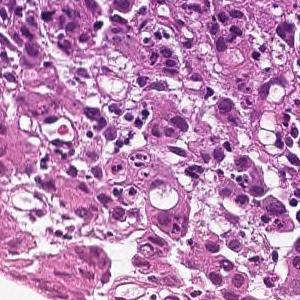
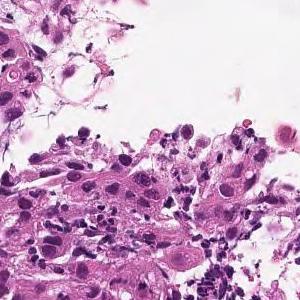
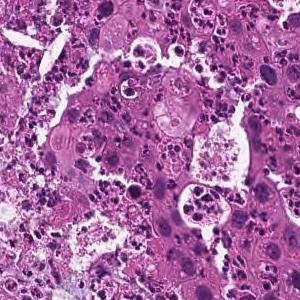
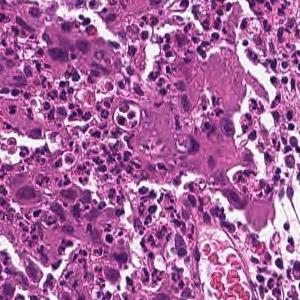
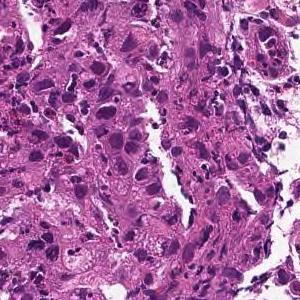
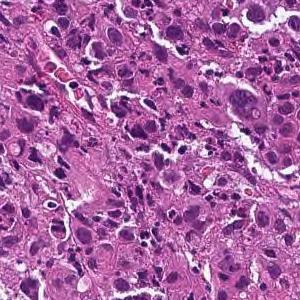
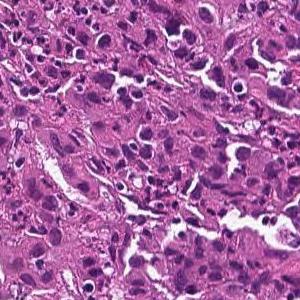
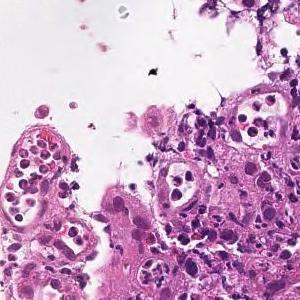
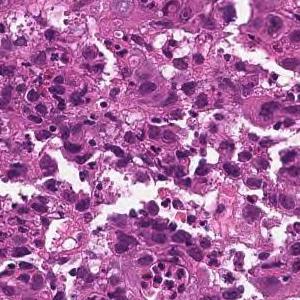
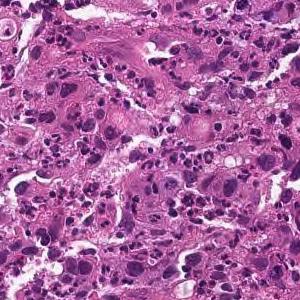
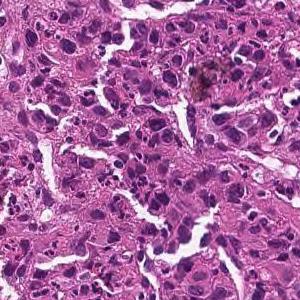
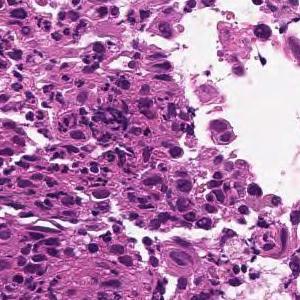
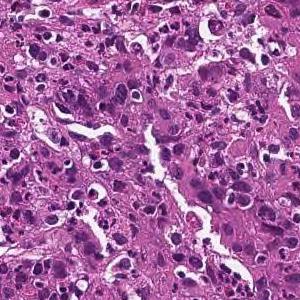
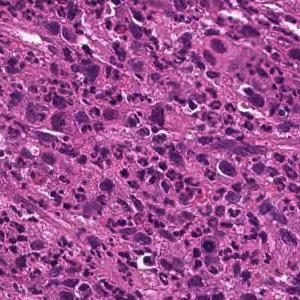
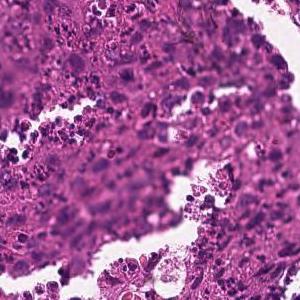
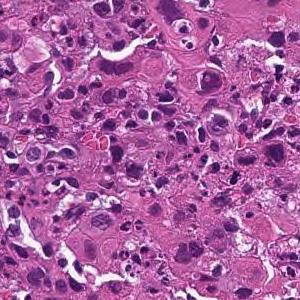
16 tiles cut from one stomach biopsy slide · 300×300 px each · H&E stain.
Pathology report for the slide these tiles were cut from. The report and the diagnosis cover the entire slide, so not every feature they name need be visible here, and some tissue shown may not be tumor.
The superficial epithelium shows a large sheet-like shape, and some tumor tissue infiltrates with small irregular ducts. Poorly differentiated adenocarcinoma, solid-type
Tumor subtype: poorly differentiated adenocarcinoma, solid type, a category of the Japanese Classification of Gastric Carcinoma; in the WHO 2019 classification it is tubular adenocarcinoma, poorly differentiated.
